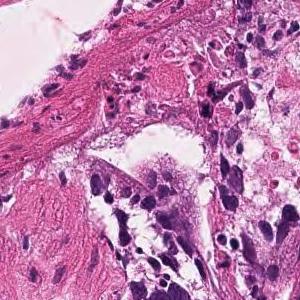
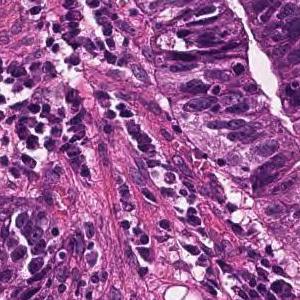
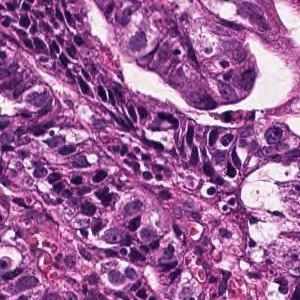
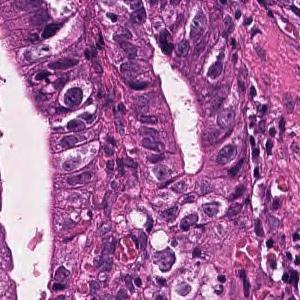
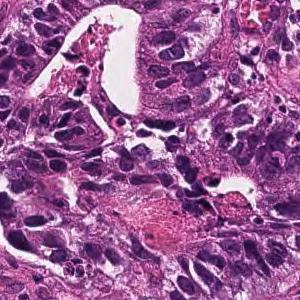
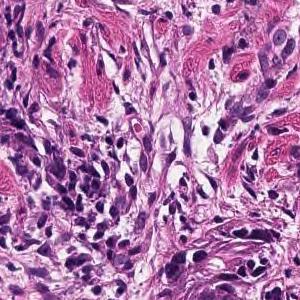
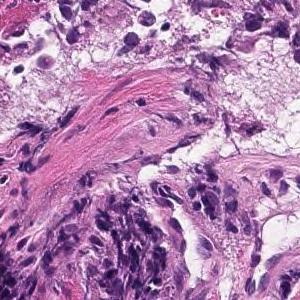
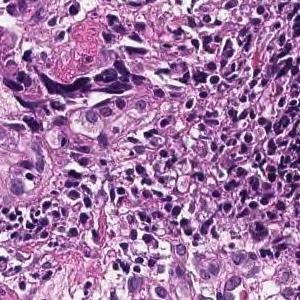
Hematoxylin and eosin stain · scanned at ×20 · 8 tiles from the same stomach biopsy slide.
Pathology report for the biopsy slide these tiles were cut from. What the report and the diagnosis say applies to the whole slide; these tiles may miss some of the features named and may include tissue that is not tumor.
From the superficial epithelium to the muscularis mucosae, tumor tissue infiltrating by forming medium-sized irregular gland ducts is observed. Large tumor cells exhibit large nucleus and hyperchromatism. Well differentiated tubular adenocarcinoma
